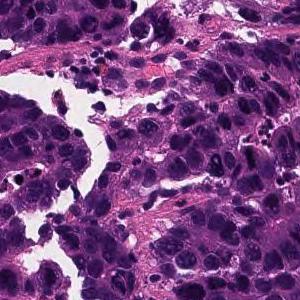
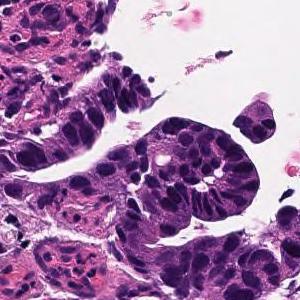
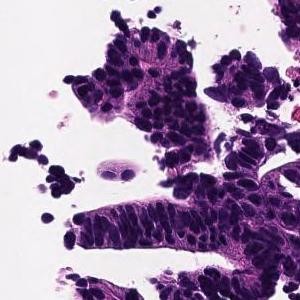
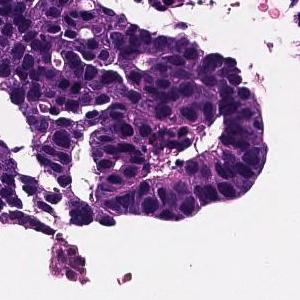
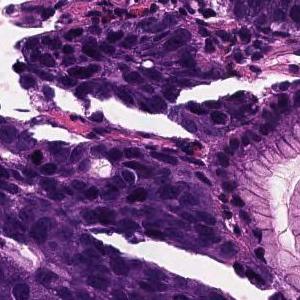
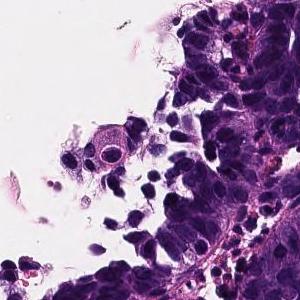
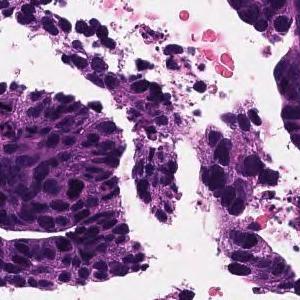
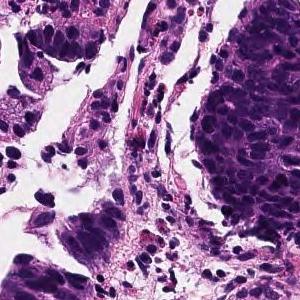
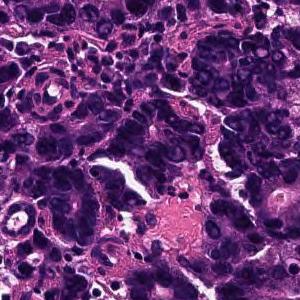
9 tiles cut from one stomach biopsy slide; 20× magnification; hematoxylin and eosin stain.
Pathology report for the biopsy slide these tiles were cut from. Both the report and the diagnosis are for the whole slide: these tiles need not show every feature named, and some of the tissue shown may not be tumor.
In the superficial epithelium, tumor tissue that invades by forming medium-sized to small, irregular ducts is observed. moderately differentiated tubular adenocarcinoma.
